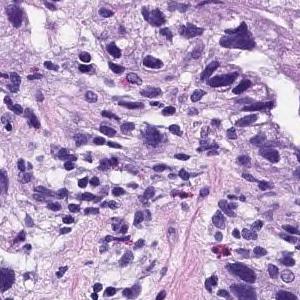
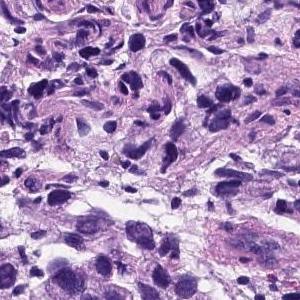
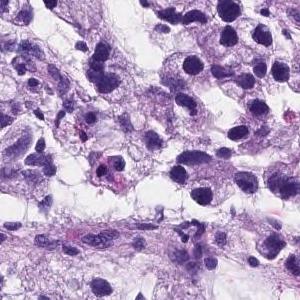
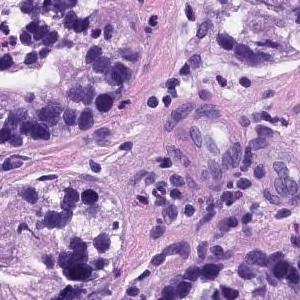
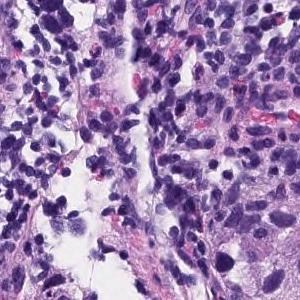
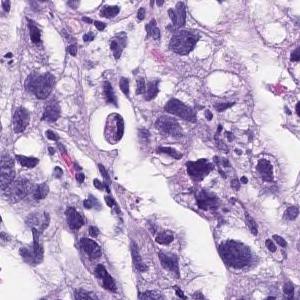
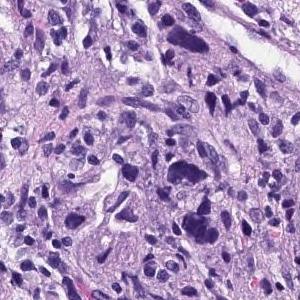
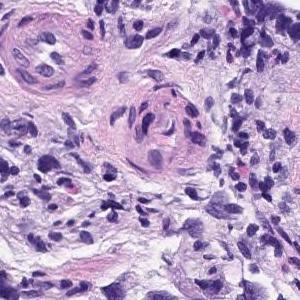
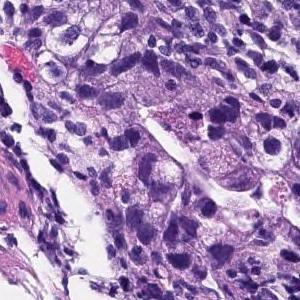
9 tiles from the same stomach biopsy slide, H&E stain, scanned at ×20.
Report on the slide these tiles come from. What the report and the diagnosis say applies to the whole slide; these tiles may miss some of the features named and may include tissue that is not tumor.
Medium to small, irregular glandular ducts are formed in the superficial epithelium, and in some cases, the glandular ducts are fused to show solid alveolar lesions and infiltrating tumor tissue is observed. Poorly differentiated adenocarcinoma, Moderately differentiated adenocarcinoma.
The dataset labels this slide moderately differentiated tubular adenocarcinoma.
